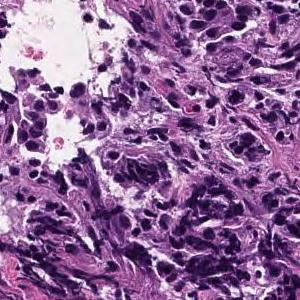
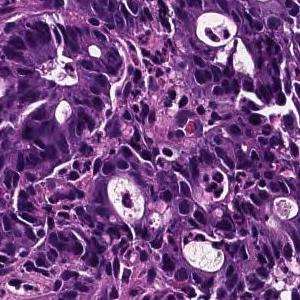
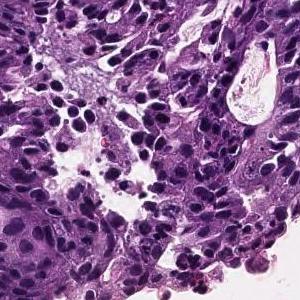
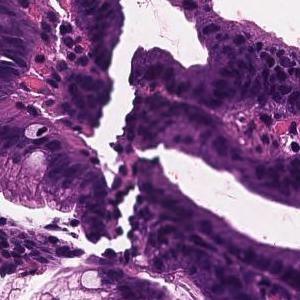
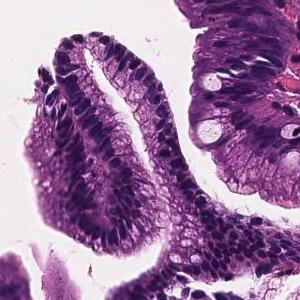
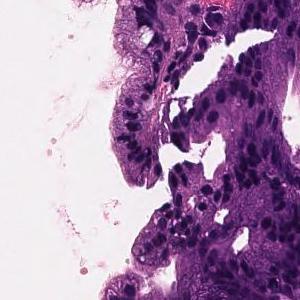
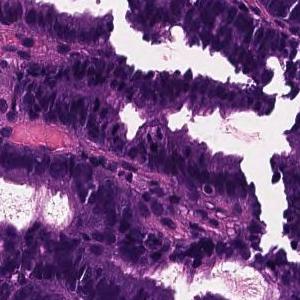
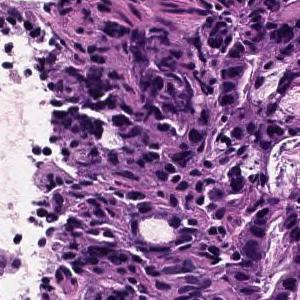
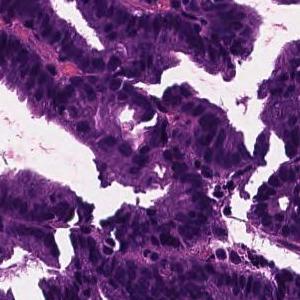
9 image tiles from a single gastric biopsy slide, 300 × 300 pixels each, 20× magnification.
The pathologist's report on the biopsy slide these tiles were taken from. The report describes the whole slide, diagnosis included: not every finding it names need appear in these tiles, which may also show non-tumor tissue.
In the superficial epithelium, tumor tissue that invades by forming medium-sized to small, irregular ducts is observed. moderately differentiated tubular adenocarcinoma.
